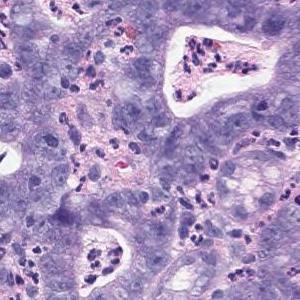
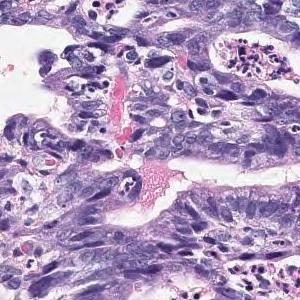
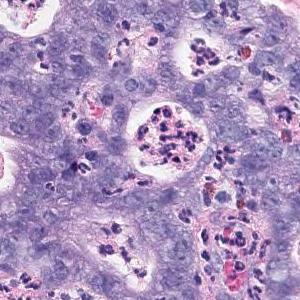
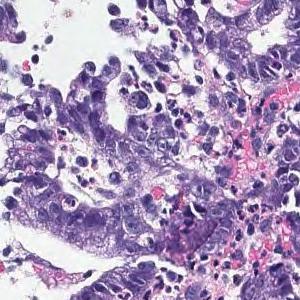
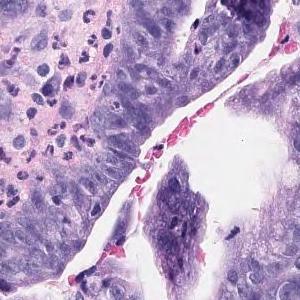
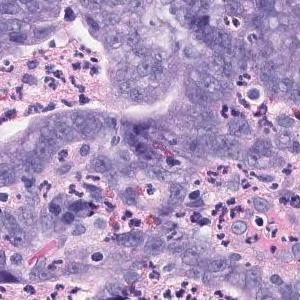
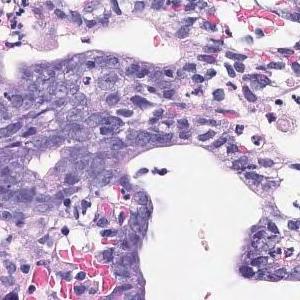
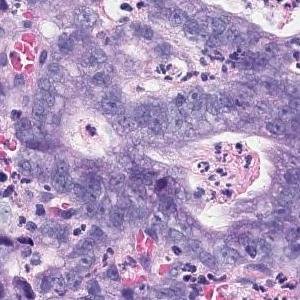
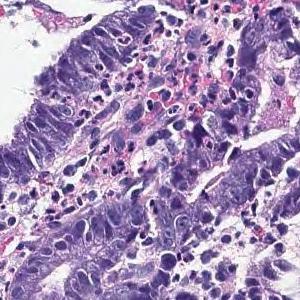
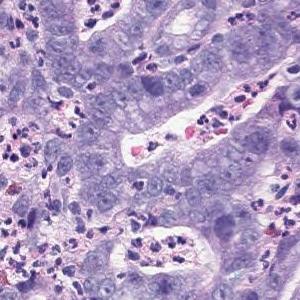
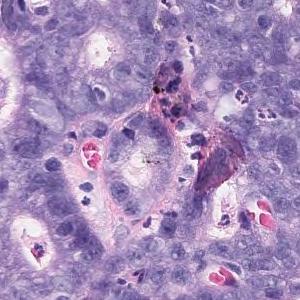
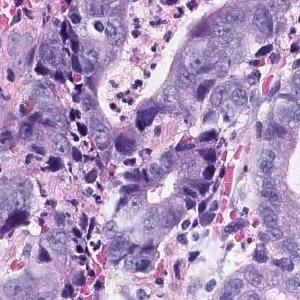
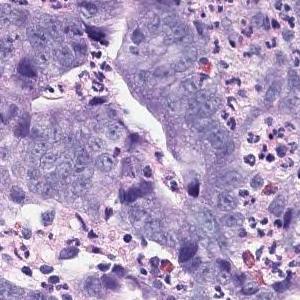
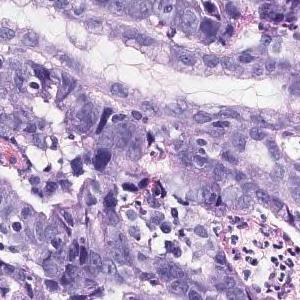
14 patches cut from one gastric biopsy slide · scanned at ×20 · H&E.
Report on the slide these tiles come from. The findings and the diagnosis refer to the entire slide; these tiles show only part of it, possibly with non-tumor tissue, and may not show every feature named.
In the superficial epithelium, tumor tissue that invades by forming medium-sized to small, irregular ducts is observed. Moderately differentiated adenocarcinoma.
Histologic type: Moderately differentiated tubular adenocarcinoma.
